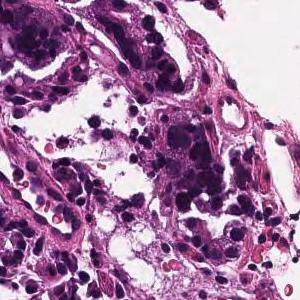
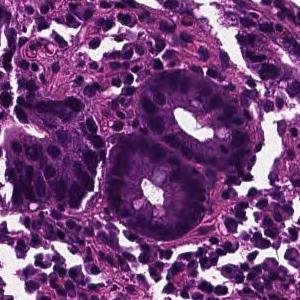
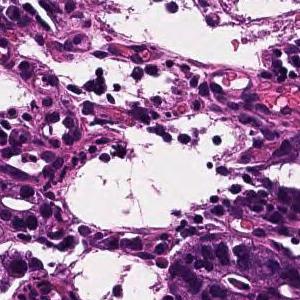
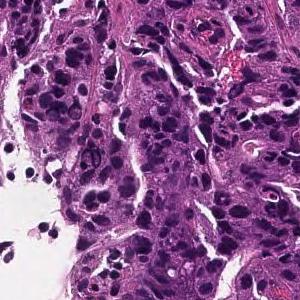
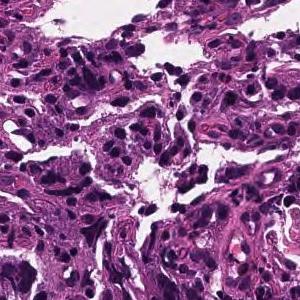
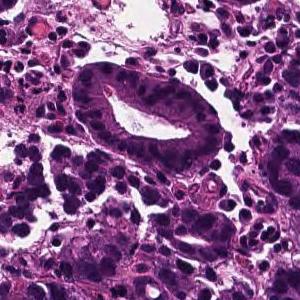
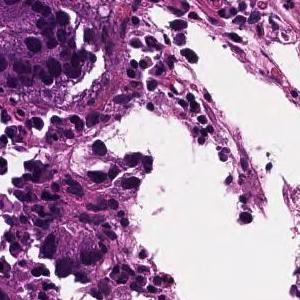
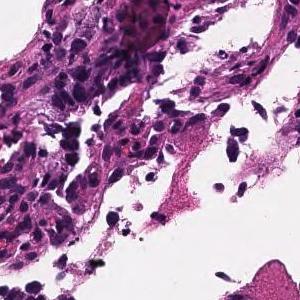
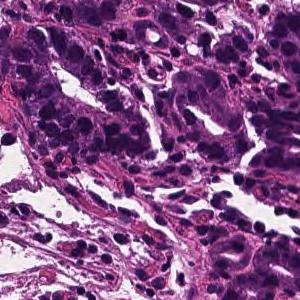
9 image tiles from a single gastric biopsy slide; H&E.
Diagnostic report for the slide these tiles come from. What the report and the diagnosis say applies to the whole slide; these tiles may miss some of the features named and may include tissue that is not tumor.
In the superficial epithelium, tumor tissue that invades by forming medium-sized to small, irregular ducts is observed. moderately differentiated tubular adenocarcinoma.
